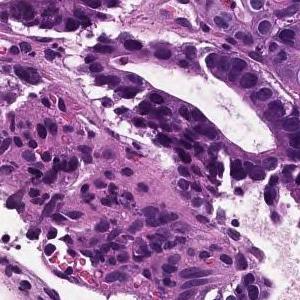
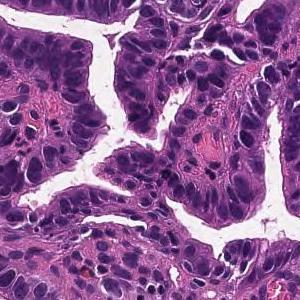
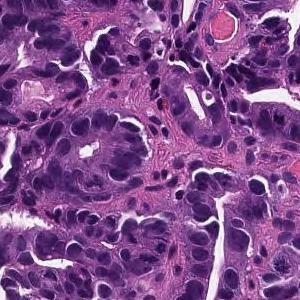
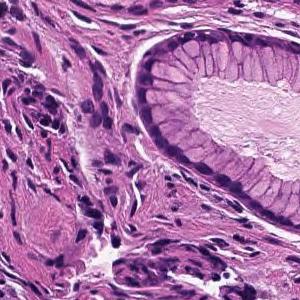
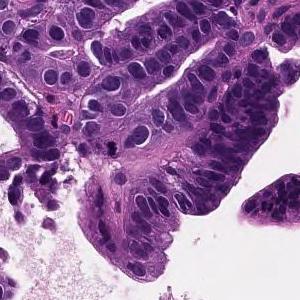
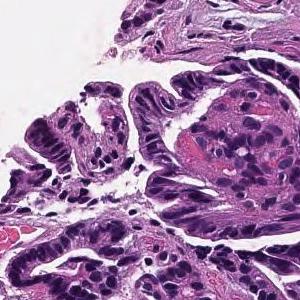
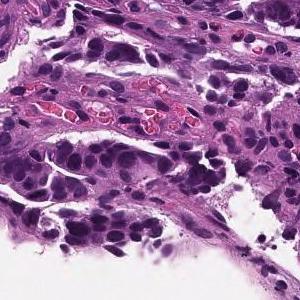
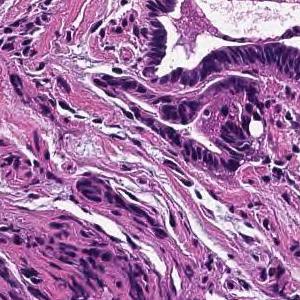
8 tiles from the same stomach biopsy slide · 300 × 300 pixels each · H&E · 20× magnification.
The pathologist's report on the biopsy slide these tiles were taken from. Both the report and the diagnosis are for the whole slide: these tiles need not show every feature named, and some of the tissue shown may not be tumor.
Tumor tissue consisting of large papillary structures is found in the superficial epithelium. Papillary adenocarcinoma.
